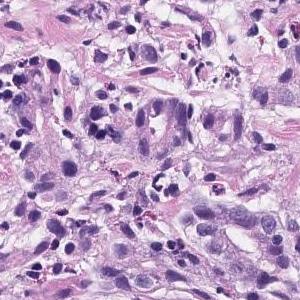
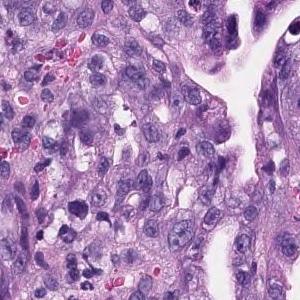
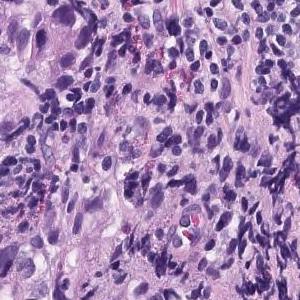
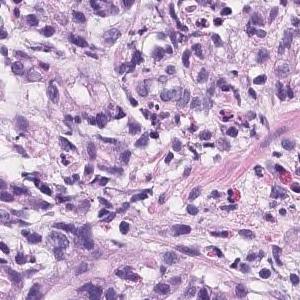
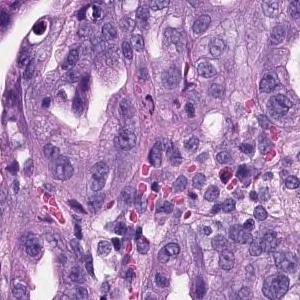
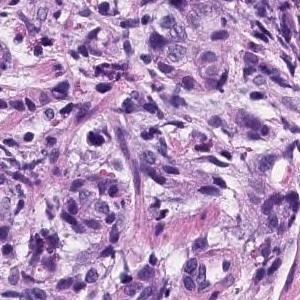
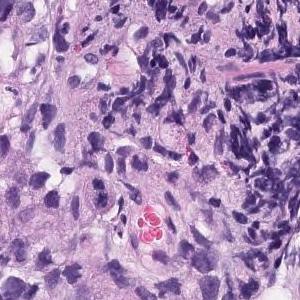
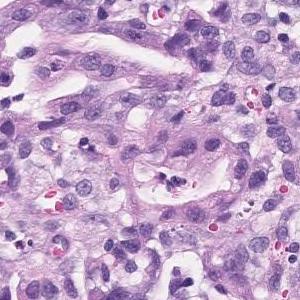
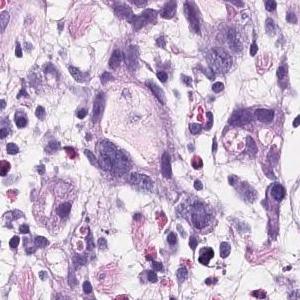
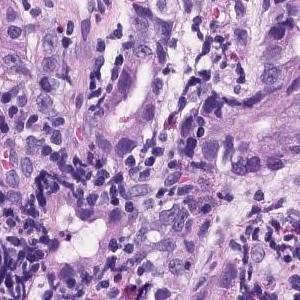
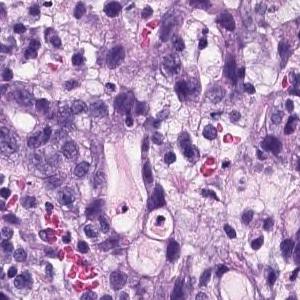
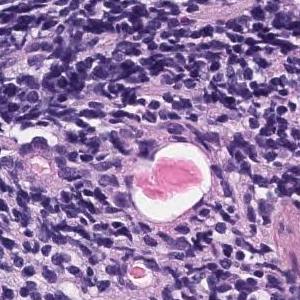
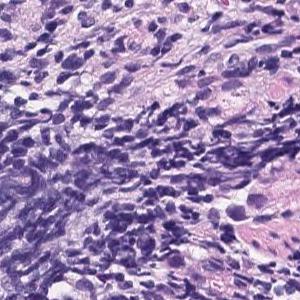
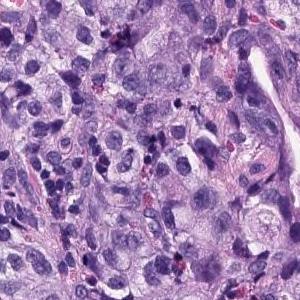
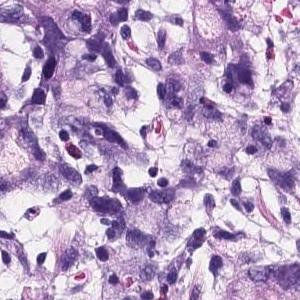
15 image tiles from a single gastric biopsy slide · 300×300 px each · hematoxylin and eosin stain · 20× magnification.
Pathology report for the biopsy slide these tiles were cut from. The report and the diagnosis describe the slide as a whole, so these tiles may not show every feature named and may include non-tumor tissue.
There are atypical l cells with atypical nuclei forming cord-like or irregular atypical ducts from solidity and proliferating in a comprehensive manner. Poorly differentiated adenocarcinoma, Moderately differentiated adenocarcinoma (poorly differentiated adenocarcinoma, solid type moderately differentiated tubular adenocarcinoma)
Histological subtype: Moderately to poorly differentiated adenocarcinoma.
The solid type named here is a Japanese Classification of Gastric Carcinoma category; WHO 2019 calls it tubular adenocarcinoma, poorly differentiated.
